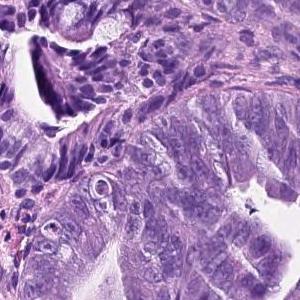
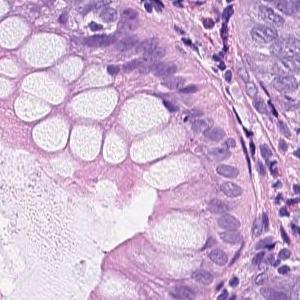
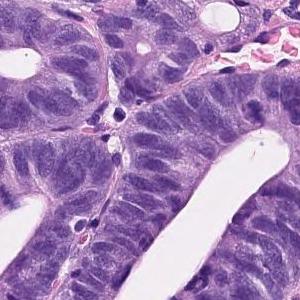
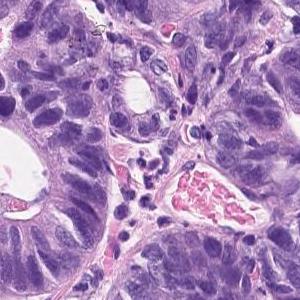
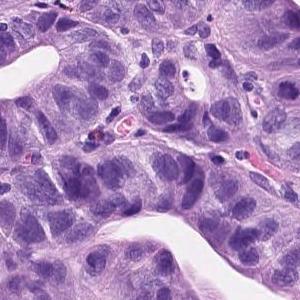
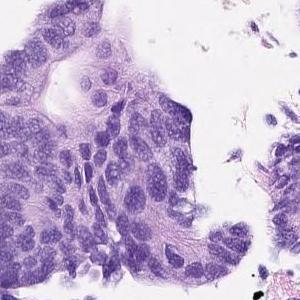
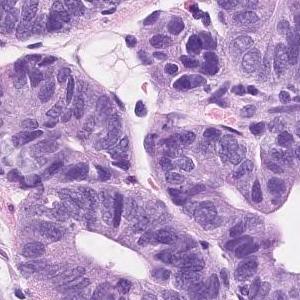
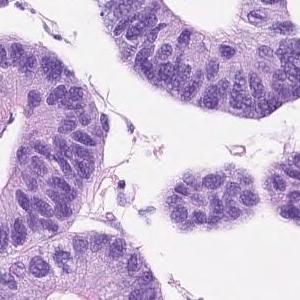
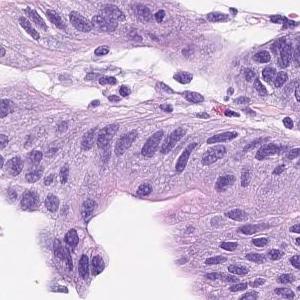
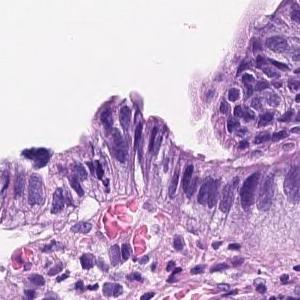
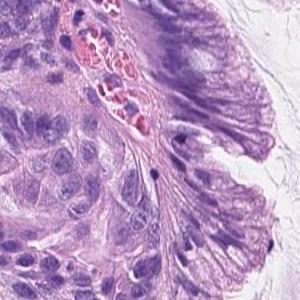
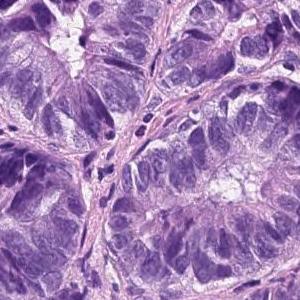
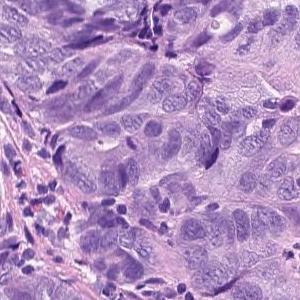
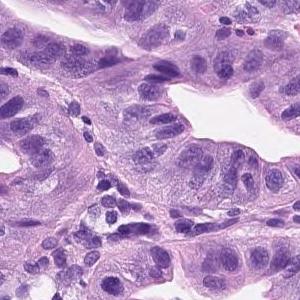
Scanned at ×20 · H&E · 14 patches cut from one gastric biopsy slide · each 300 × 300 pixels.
Pathology report for the slide these tiles were cut from. The findings and the diagnosis refer to the entire slide; these tiles show only part of it, possibly with non-tumor tissue, and may not show every feature named.
Tumor tissue consisting of medium-sized and irregular ducts is observed infiltrating in the superficial epithelium. Tumor cells are highly columnar, with nuclei aligned basolaterally and polarized. Well differentiated tubular adenocarcinoma.
